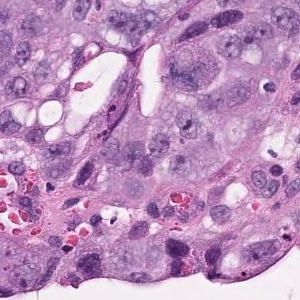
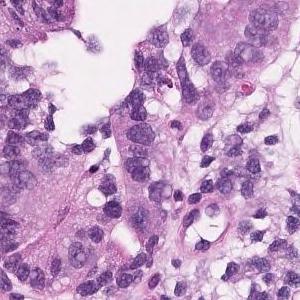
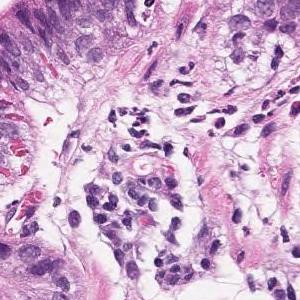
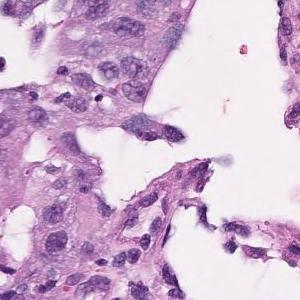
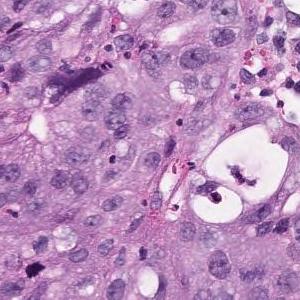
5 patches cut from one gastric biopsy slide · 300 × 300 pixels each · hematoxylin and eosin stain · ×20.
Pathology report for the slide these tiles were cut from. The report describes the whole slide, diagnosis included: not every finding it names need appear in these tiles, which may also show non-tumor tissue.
On the superficial epithelium, tumor tissue consisting of medium to small irregular tubules partially fused and proliferated is observed. Well differentiated tubular adenocarcinoma
